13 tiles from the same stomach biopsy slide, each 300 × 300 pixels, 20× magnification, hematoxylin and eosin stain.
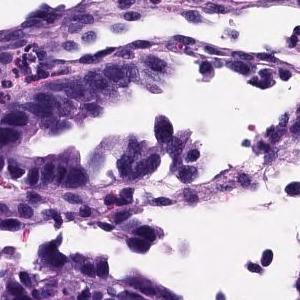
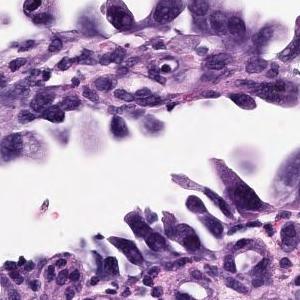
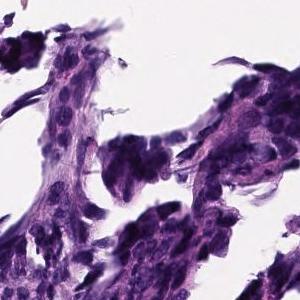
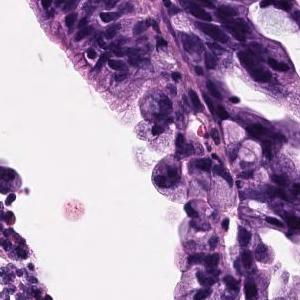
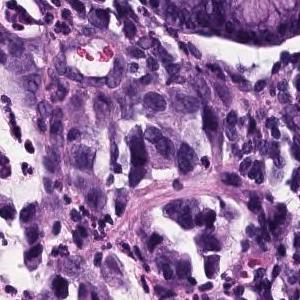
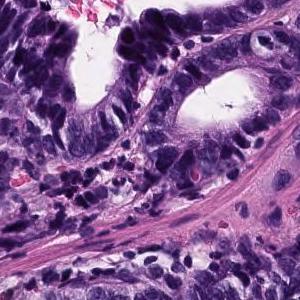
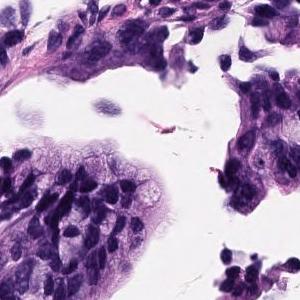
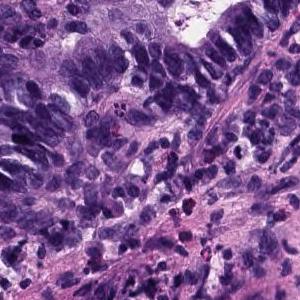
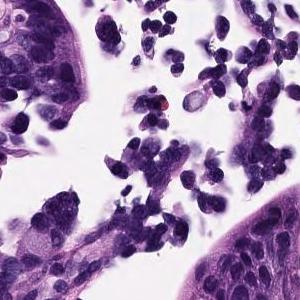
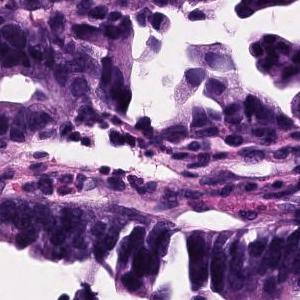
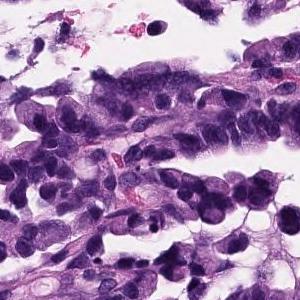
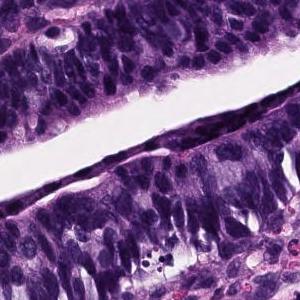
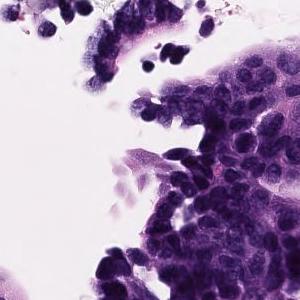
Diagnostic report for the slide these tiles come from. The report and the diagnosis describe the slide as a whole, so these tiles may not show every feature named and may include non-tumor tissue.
Atypical epithelium proliferating showing villus construction and irregular gland duct construction is observed. Moderately differentiated tubular adenocarcinoma.
